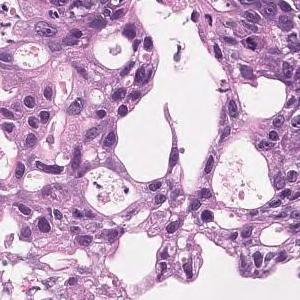
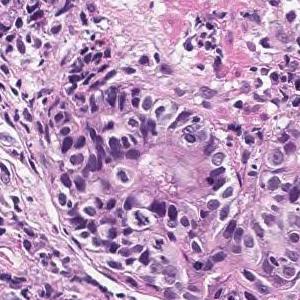
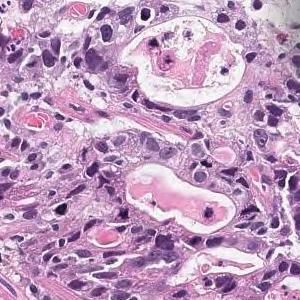
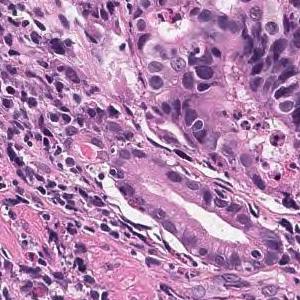
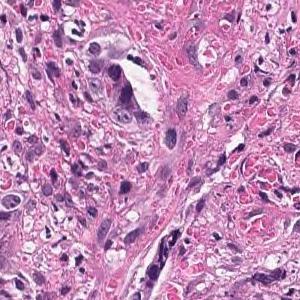
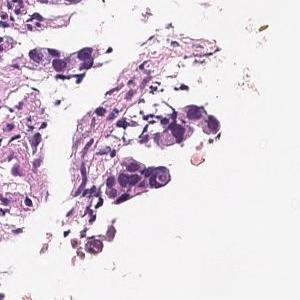
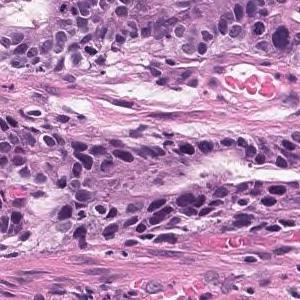
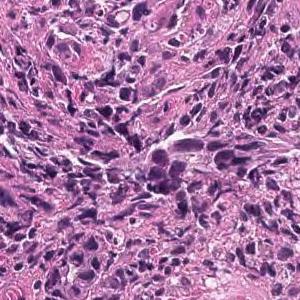
8 tiles from the same stomach biopsy slide; ×20; H&E stain.
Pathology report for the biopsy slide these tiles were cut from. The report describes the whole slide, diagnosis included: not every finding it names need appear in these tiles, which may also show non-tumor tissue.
Tumor cells are large, highly columnar, large club-shaped nuclei, and are associated with chromatin aggregation. Papillary adenocarcinoma.
